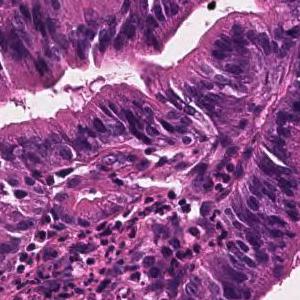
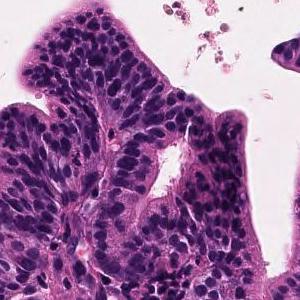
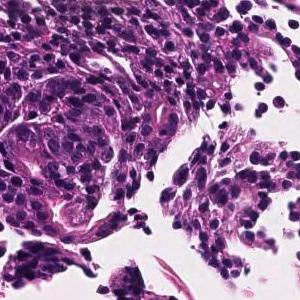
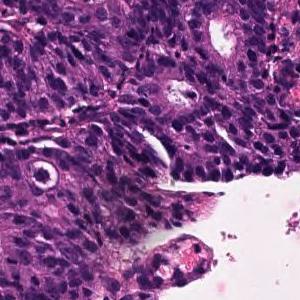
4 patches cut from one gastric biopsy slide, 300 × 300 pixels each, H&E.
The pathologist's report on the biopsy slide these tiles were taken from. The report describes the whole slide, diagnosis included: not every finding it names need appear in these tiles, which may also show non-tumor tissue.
In the superficial epithelium, tumor tissue that invades by forming medium-sized to small, irregular ducts is observed. Moderately differentiated adenocarcinoma.
Subtype: Moderately differentiated tubular adenocarcinoma.
